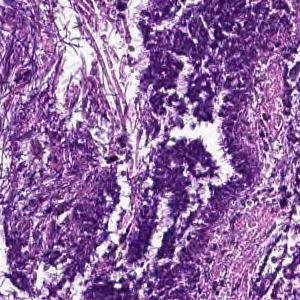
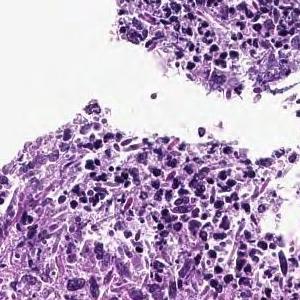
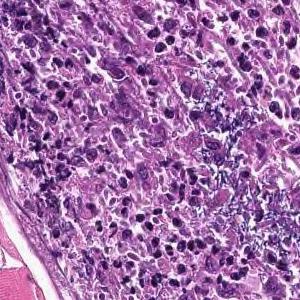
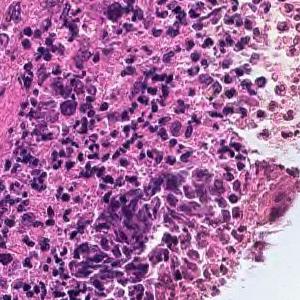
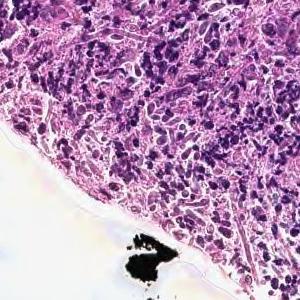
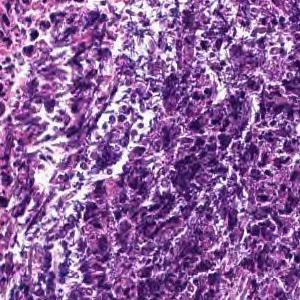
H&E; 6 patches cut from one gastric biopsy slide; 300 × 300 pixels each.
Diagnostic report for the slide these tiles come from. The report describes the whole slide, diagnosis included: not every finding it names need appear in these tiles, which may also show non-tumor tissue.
Cancers with polygonal nuclei do not show glandular formation and are densely, in part, cord-like and proliferate. Poorly differentiated adenocarcinoma
Histologic type: Poorly differentiated adenocarcinoma, non-solid type.
The term "non-solid type" comes from the Japanese Classification of Gastric Carcinoma.
